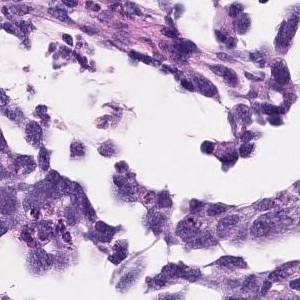
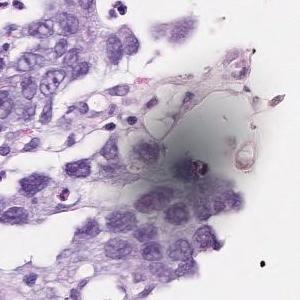
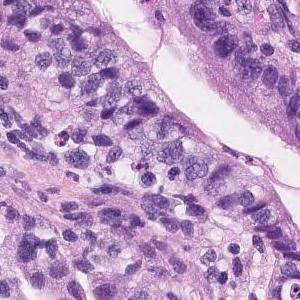
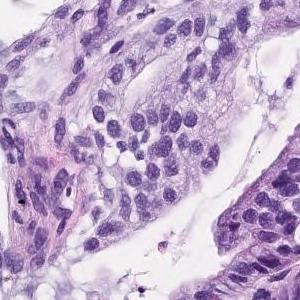
4 tiles cut from one stomach biopsy slide; each 300 × 300 pixels; H&E stain.
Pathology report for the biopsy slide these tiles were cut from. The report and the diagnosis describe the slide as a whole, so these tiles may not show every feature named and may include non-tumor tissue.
Tumor cells are large, highly columnar, large club-shaped nuclei, and are associated with chromatin aggregation. Papillary adenocarcinoma.
